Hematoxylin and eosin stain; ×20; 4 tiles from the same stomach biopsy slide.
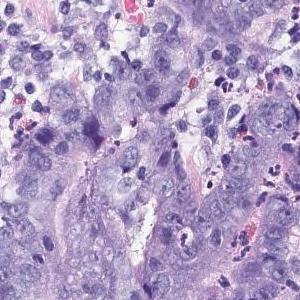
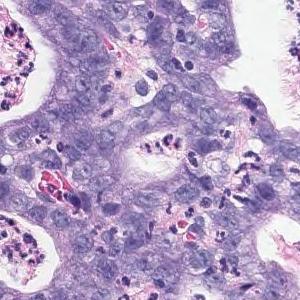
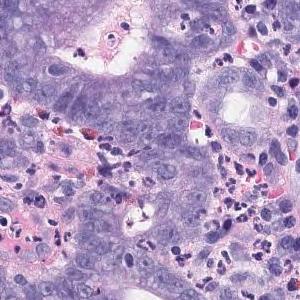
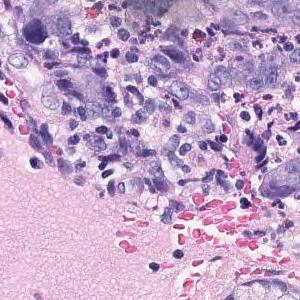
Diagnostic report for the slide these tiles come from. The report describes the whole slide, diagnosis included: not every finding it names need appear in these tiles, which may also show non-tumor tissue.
In the superficial epithelium, tumor tissue that invades by forming medium-sized to small, irregular ducts is observed. Moderately differentiated adenocarcinoma.
Histological subtype: Moderately differentiated tubular adenocarcinoma.
